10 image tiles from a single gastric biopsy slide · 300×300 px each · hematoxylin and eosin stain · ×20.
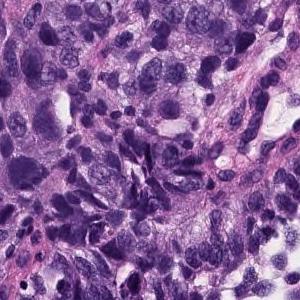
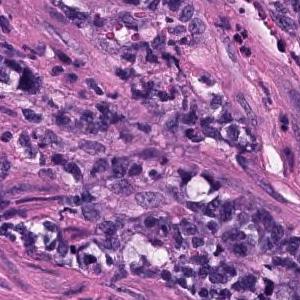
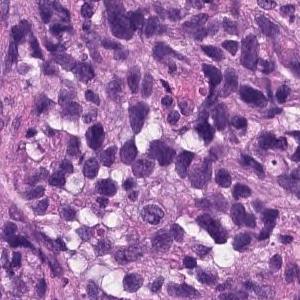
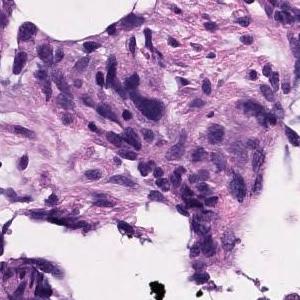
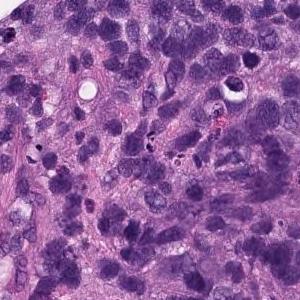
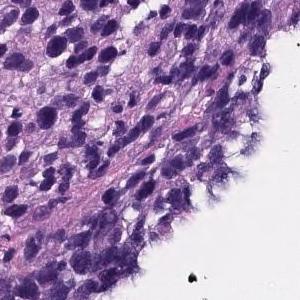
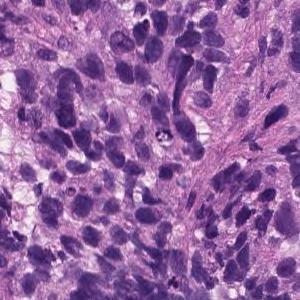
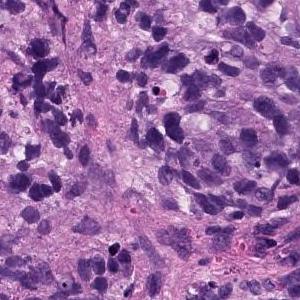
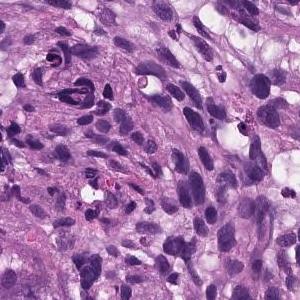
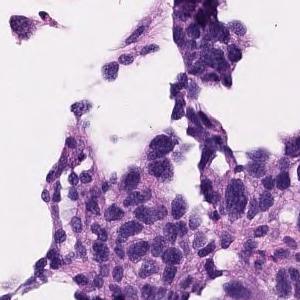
Report on the slide these tiles come from. The report and the diagnosis cover the entire slide, so not every feature they name need be visible here, and some tissue shown may not be tumor.
Atypical l cells with atypical nuclei under the mucosa growing in isolation and scattered. Poorly differentiated adenocarcinoma (poorly differentiated adenocarcinoma, non-solid type)
Histological subtype: Poorly differentiated adenocarcinoma, non-solid type.
The term "non-solid type" comes from the Japanese Classification of Gastric Carcinoma.
